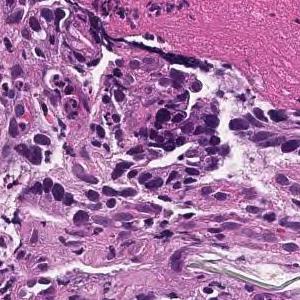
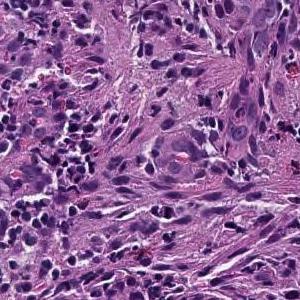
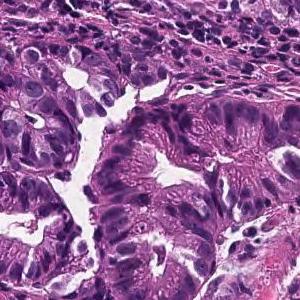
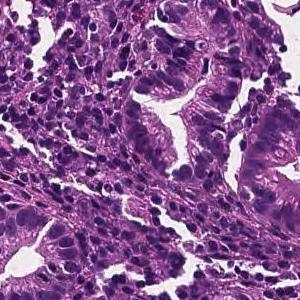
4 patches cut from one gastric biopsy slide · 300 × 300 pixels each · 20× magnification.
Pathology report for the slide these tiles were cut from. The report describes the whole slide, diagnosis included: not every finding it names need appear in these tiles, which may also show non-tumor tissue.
On the superficial epithelium, tumor tissue consisting of large irregular glandular ducts partially fused and infiltrated is observed. Well to moderately differentiated tubular adenocarcinoma (well differentiated tubular adenocarcinoma, moderately differentiated tubular adenocarcinoma)
Subtype: Well to moderately differentiated tubular adenocarcinoma.
